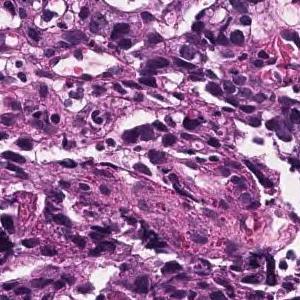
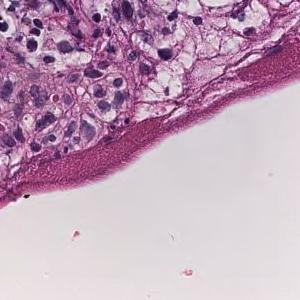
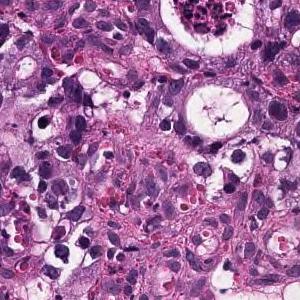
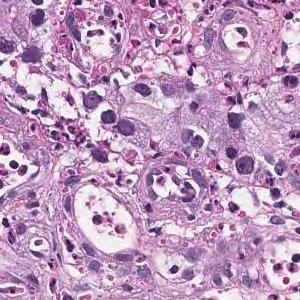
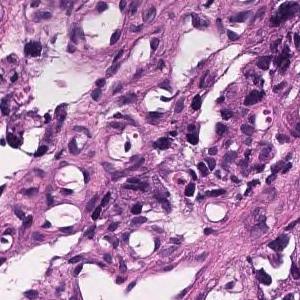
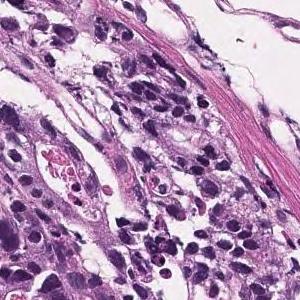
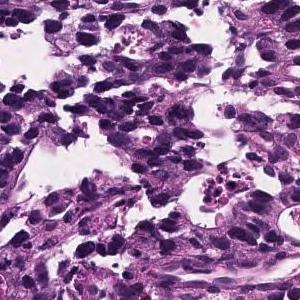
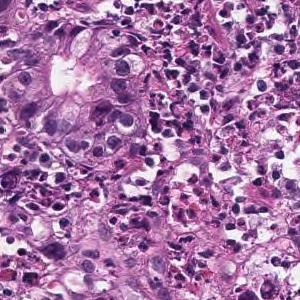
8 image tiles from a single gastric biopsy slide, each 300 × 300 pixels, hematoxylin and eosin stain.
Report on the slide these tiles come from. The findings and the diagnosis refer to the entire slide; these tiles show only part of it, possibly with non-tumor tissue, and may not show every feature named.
Tumor tissue consisting of medium-sized, cord-like or irregular glandular infiltration is observed in the superficial epithelium. Poorly differentiated adenocarcinoma, non-solid type or moderately differentiated tubular adenocarcinoma
The non-solid type named here is a Japanese Classification of Gastric Carcinoma category.
